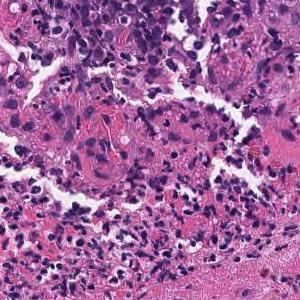
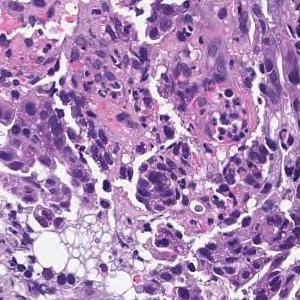
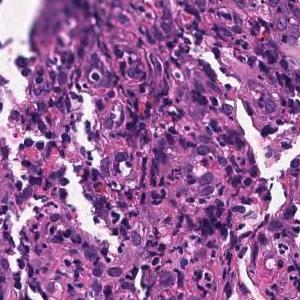
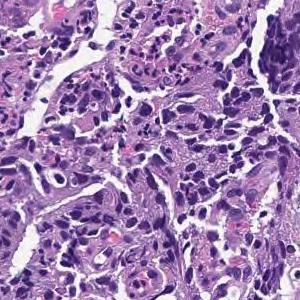
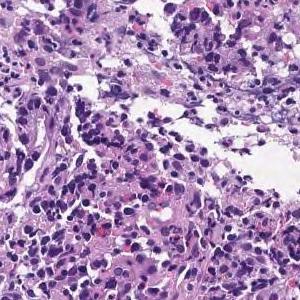
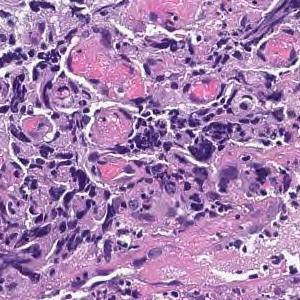
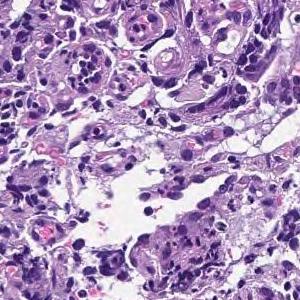
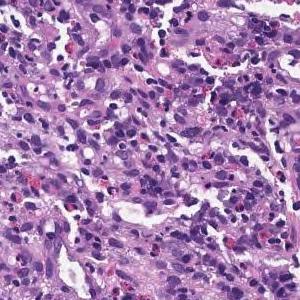
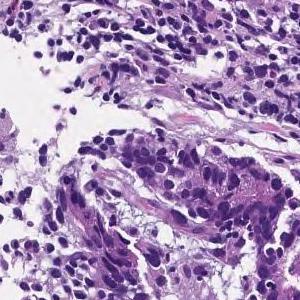
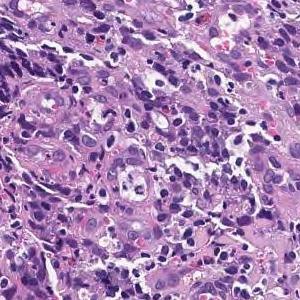
10 patches cut from one gastric biopsy slide.
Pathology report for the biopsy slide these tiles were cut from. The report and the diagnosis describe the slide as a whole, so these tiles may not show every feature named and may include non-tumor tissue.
On the superficial epithelium, tumor tissue consisting of large irregular glandular ducts partially fused and infiltrated is observed. Well to moderately differentiated tubular adenocarcinoma (well differentiated tubular adenocarcinoma, moderately differentiated tubular adenocarcinoma)
Histological subtype: Well to moderately differentiated tubular adenocarcinoma.
